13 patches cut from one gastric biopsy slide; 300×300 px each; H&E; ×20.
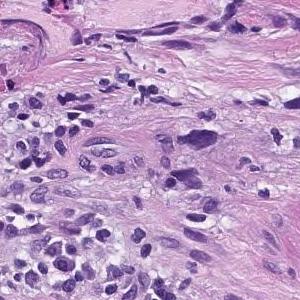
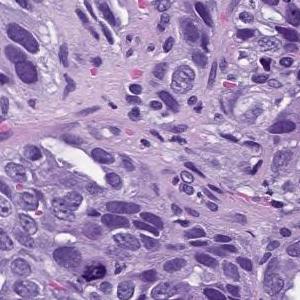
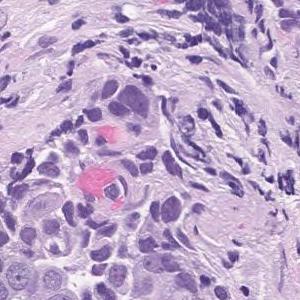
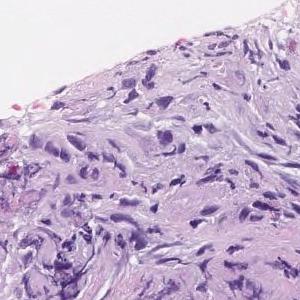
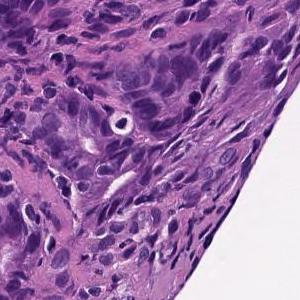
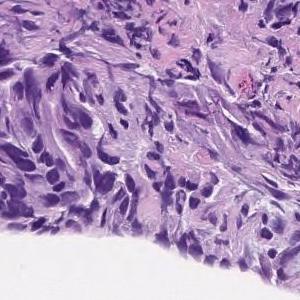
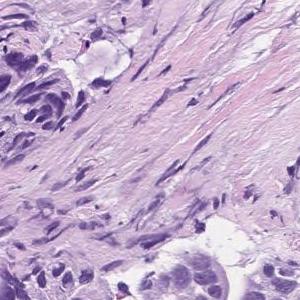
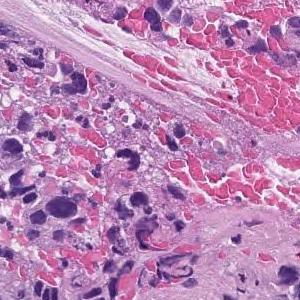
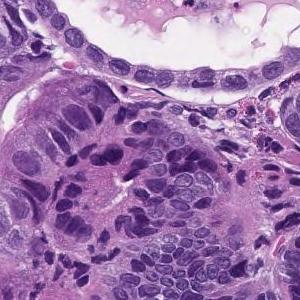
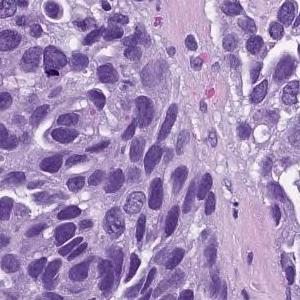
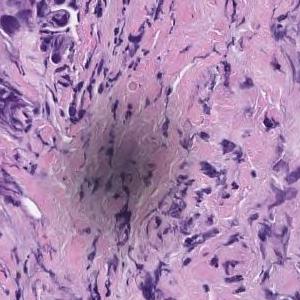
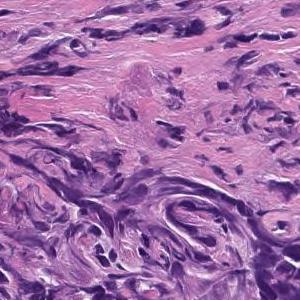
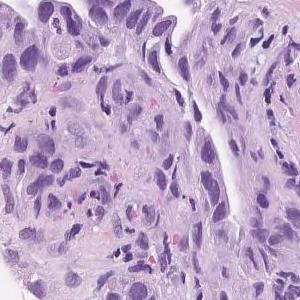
Pathology report for the slide these tiles were cut from. The report and the diagnosis cover the entire slide, so not every feature they name need be visible here, and some tissue shown may not be tumor.
In the superficial epithelium, tumor tissue that invades by forming medium-sized to small, irregular ducts is observed. moderately differentiated tubular adenocarcinoma.
